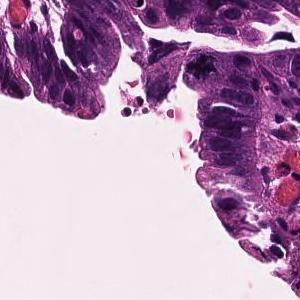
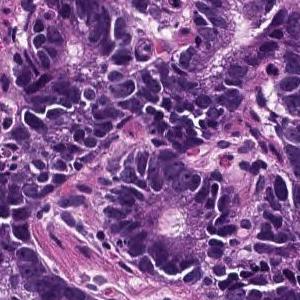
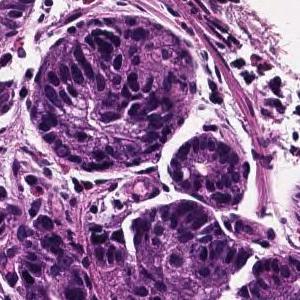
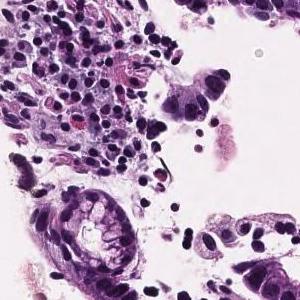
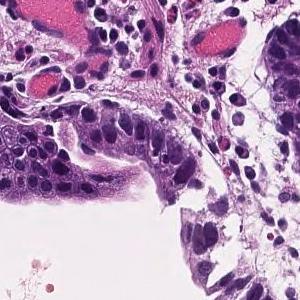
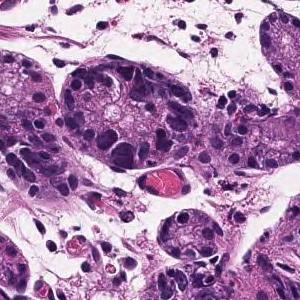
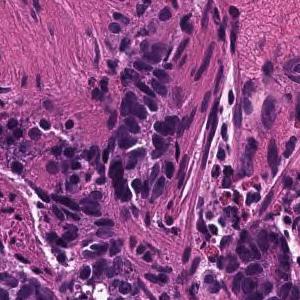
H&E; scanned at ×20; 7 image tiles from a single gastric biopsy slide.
The pathologist's report on the biopsy slide these tiles were taken from. The report and the diagnosis cover the entire slide, so not every feature they name need be visible here, and some tissue shown may not be tumor.
In the superficial epithelium, tumor tissue that invades by forming medium-sized to small, irregular ducts is observed. Well differentiated tubular adenocarcinoma.
